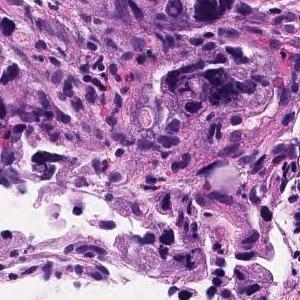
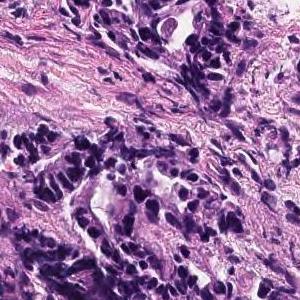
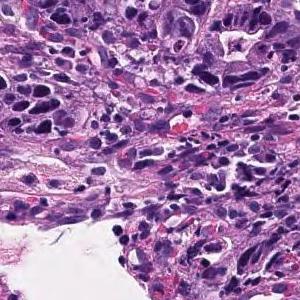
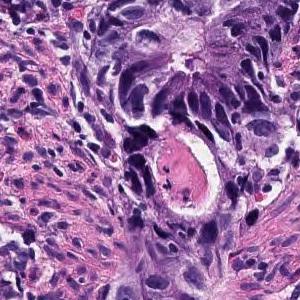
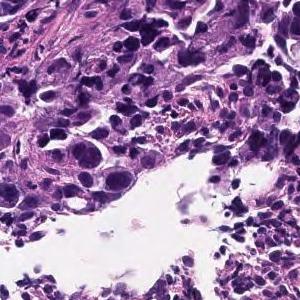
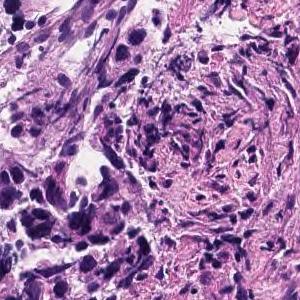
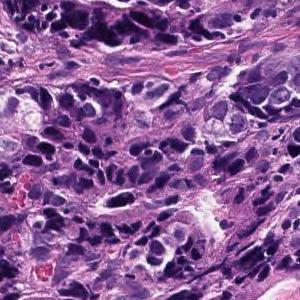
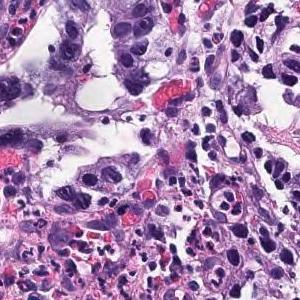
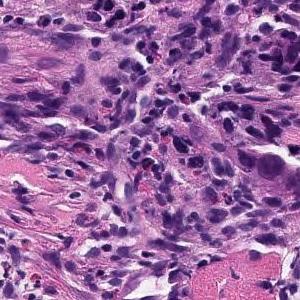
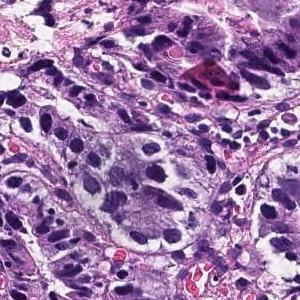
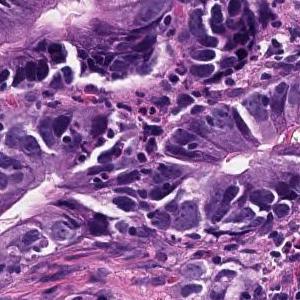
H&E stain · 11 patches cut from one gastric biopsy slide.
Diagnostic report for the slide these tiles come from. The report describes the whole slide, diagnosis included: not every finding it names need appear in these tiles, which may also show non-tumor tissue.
In the superficial epithelium, tumor tissue that invades by forming medium-sized to small, irregular ducts is observed. Tumor cells are columnar or cuboidal in shape. Moderately differentiated adenocarcinoma.
Subtype: Moderately differentiated tubular adenocarcinoma.
